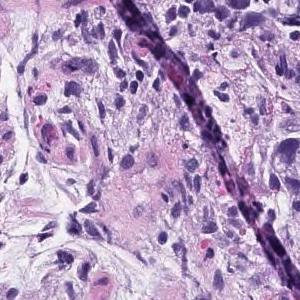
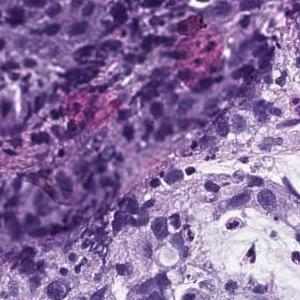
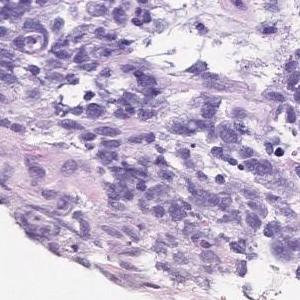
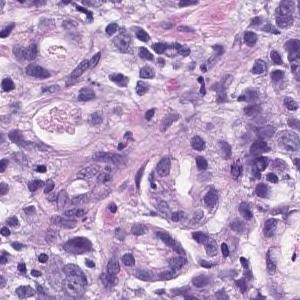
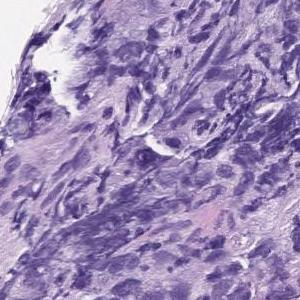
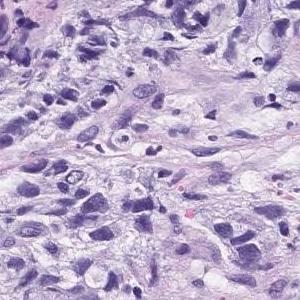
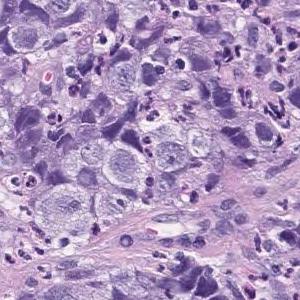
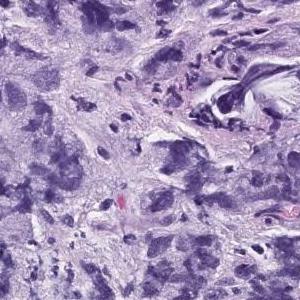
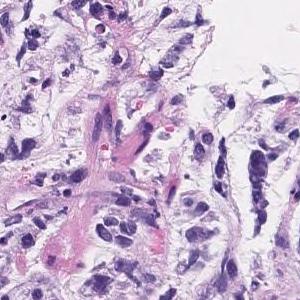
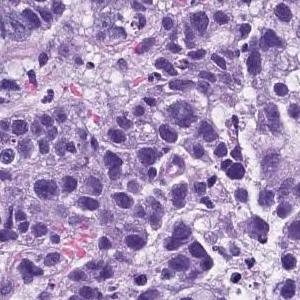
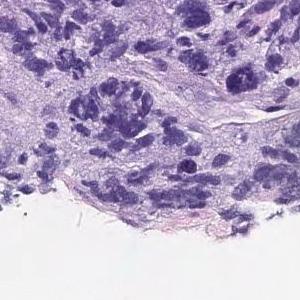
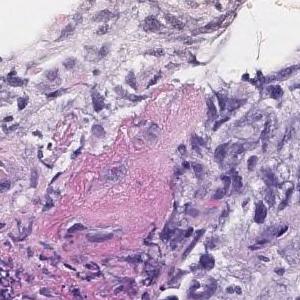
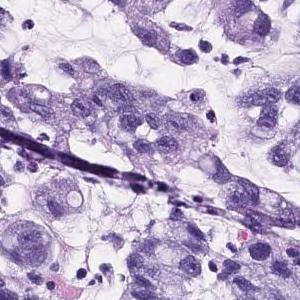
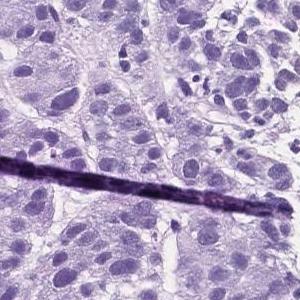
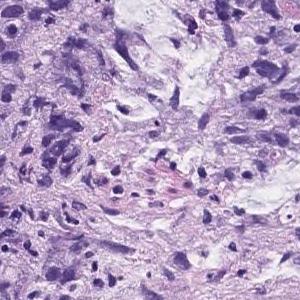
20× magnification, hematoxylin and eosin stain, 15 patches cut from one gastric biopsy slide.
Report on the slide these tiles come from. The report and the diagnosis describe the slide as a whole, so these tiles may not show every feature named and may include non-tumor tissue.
Atypical l cells with atypical nuclei forming solid vesicles or small irregular atypical ducts that proliferate in a complex manner. poorly differentiated adenocarcinoma, solid type, moderately differentiated tubular adenocarcinoma
The solid type named here is a Japanese Classification of Gastric Carcinoma category; WHO 2019 calls it tubular adenocarcinoma, poorly differentiated.
